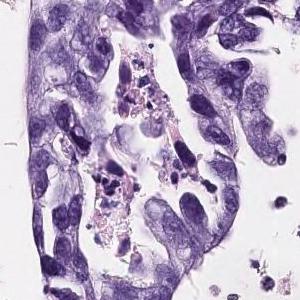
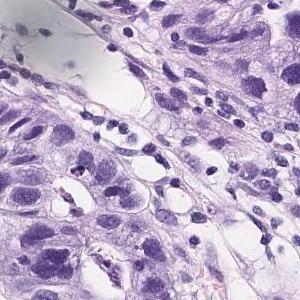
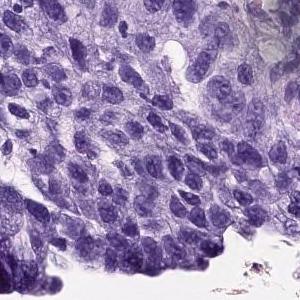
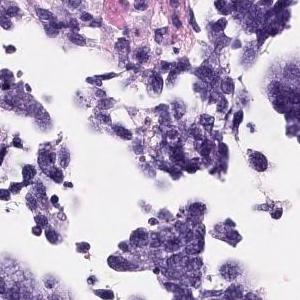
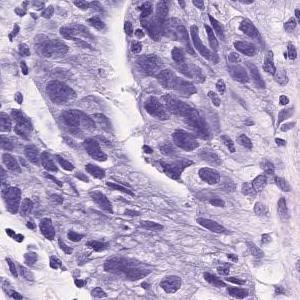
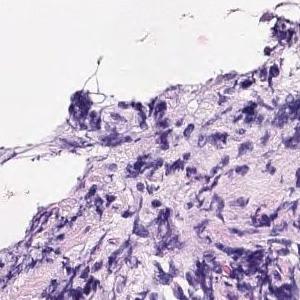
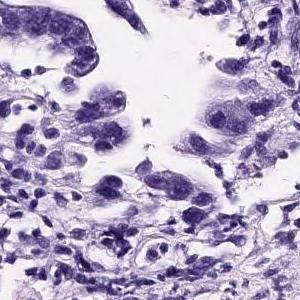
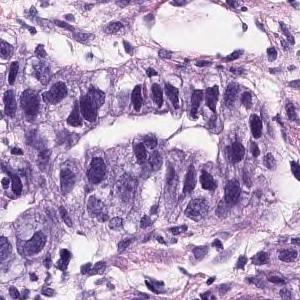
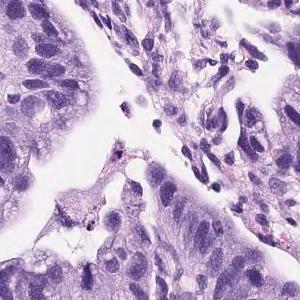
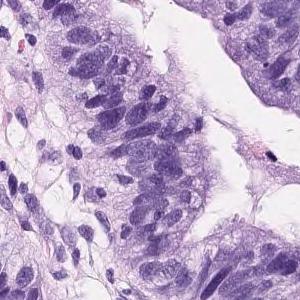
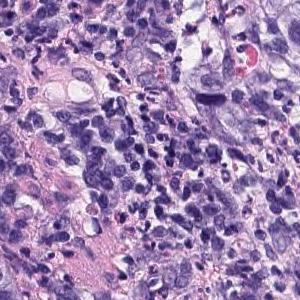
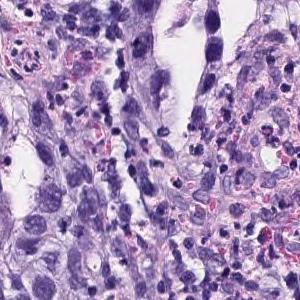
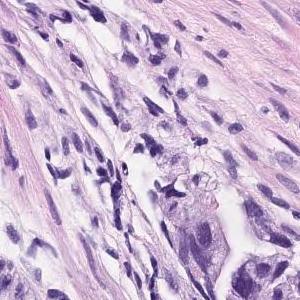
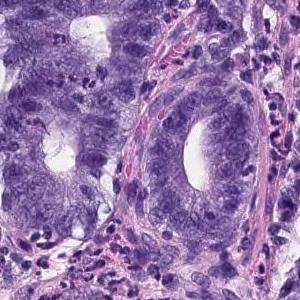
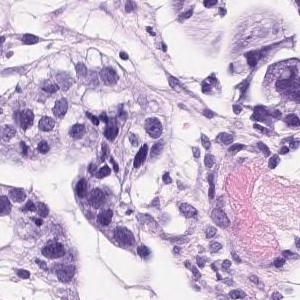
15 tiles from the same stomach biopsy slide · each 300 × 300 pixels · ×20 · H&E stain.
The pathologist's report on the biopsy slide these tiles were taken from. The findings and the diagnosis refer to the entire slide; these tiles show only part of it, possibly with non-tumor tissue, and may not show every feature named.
On the superficial epithelium, tumor tissue consisting of medium to small irregular tubules partially fused and proliferated is observed. moderately differentiated tubular adenocarcinoma
